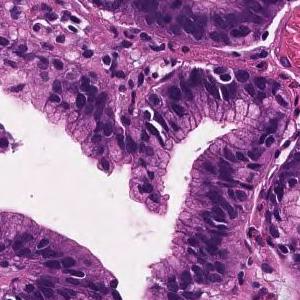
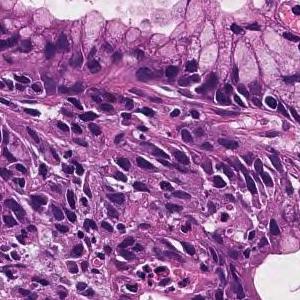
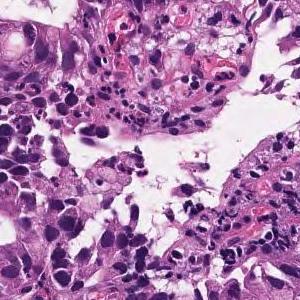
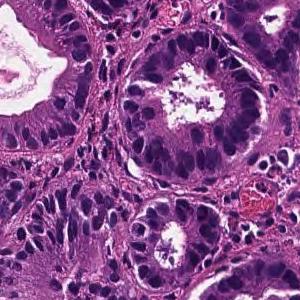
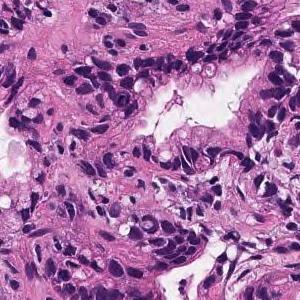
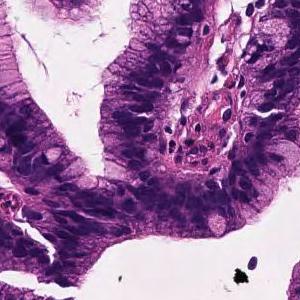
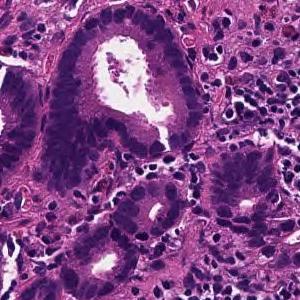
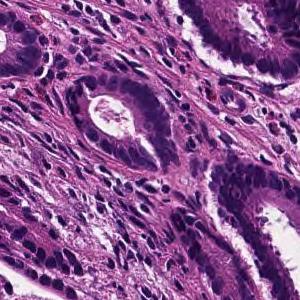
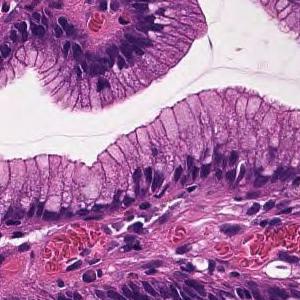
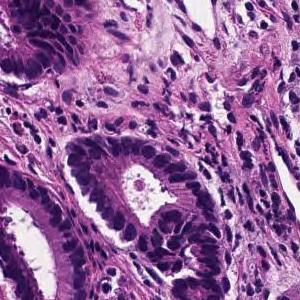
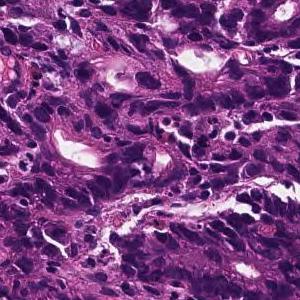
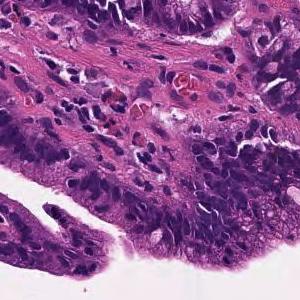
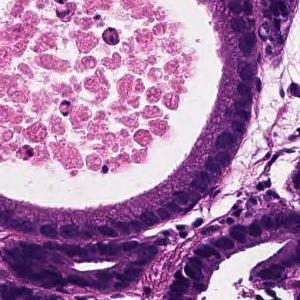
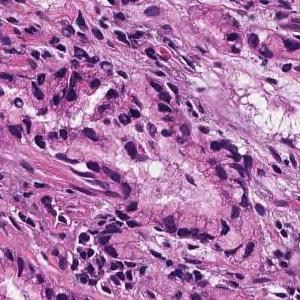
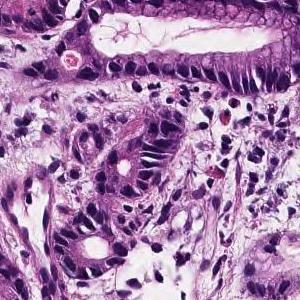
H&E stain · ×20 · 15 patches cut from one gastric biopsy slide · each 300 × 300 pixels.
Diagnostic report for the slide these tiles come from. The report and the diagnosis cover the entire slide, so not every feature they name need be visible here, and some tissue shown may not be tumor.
On the superficial epithelium, tumor tissue consisting of medium-sized and irregular glandular ducts partially fused and infiltrated is observed. Well to moderately differentiated tubular adenocarcinoma (well differentiated tubular adenocarcinoma-moderately differentiated tubular adenocarcinoma)
Tumor subtype: well to moderately differentiated tubular adenocarcinoma.
